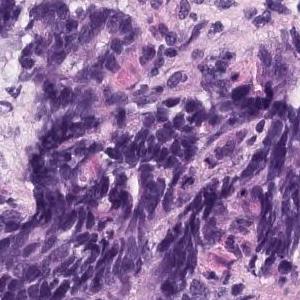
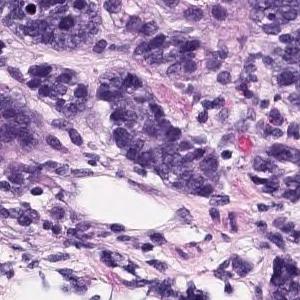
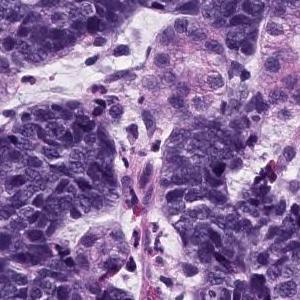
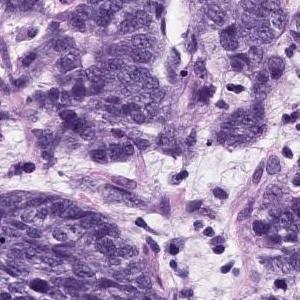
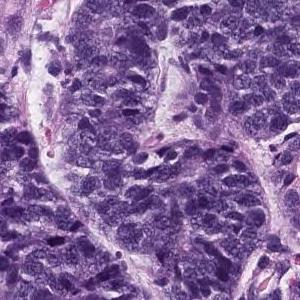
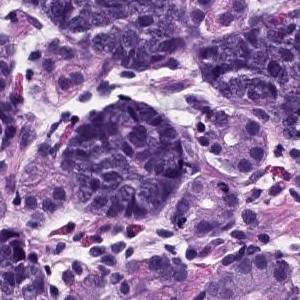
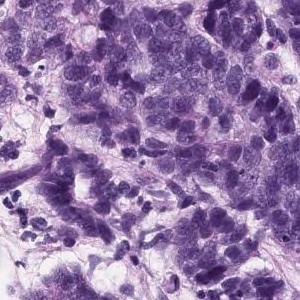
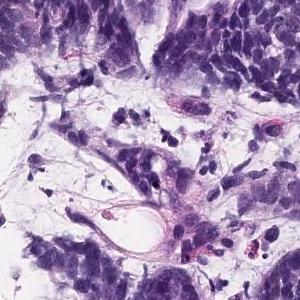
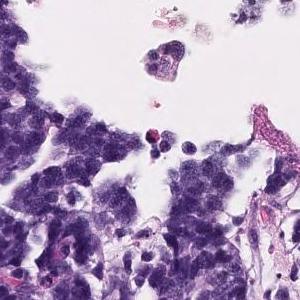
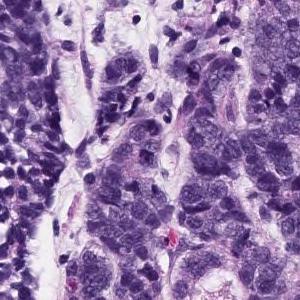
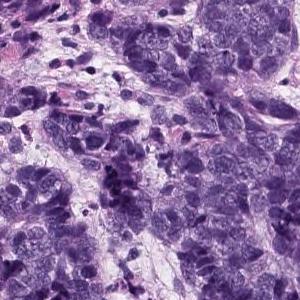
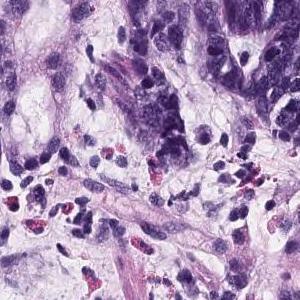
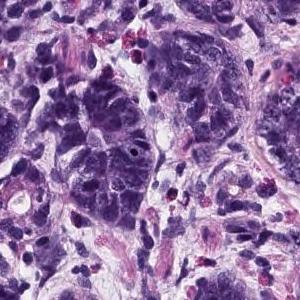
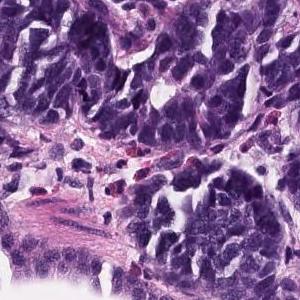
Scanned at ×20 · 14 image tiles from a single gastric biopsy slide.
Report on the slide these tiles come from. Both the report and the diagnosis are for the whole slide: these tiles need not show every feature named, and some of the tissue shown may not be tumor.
Group 5, Adenocarcinoma. Moderately to poorly differentiated adenocarcinoma
